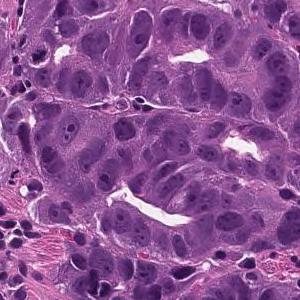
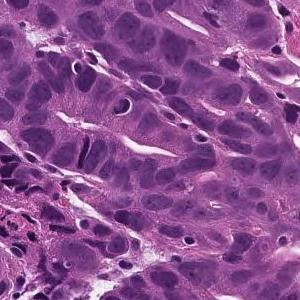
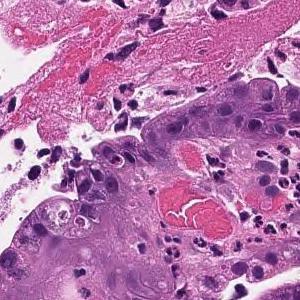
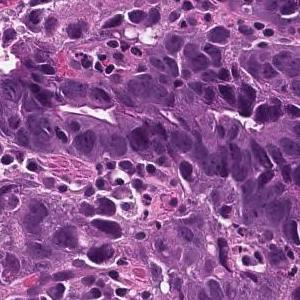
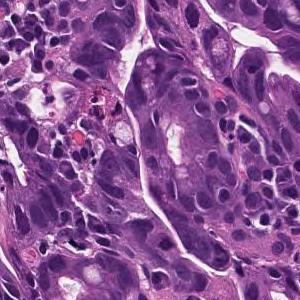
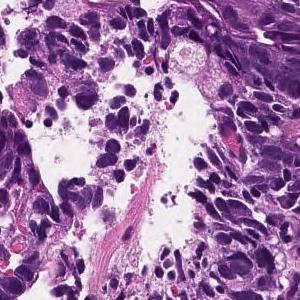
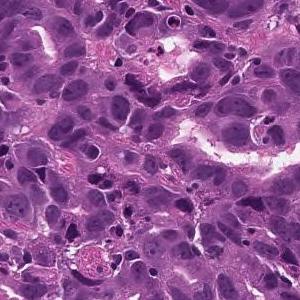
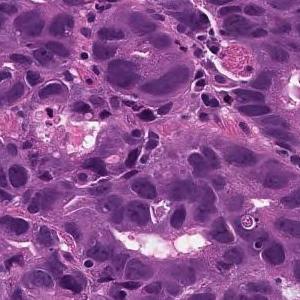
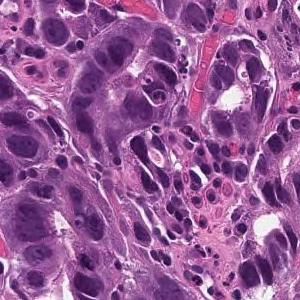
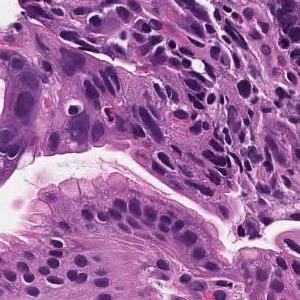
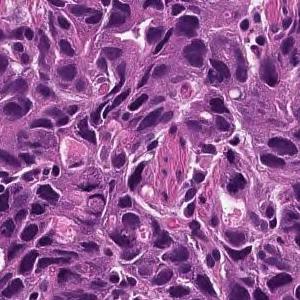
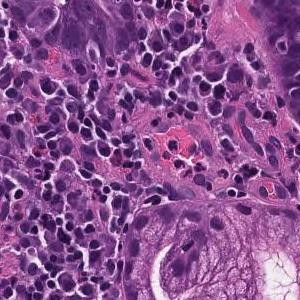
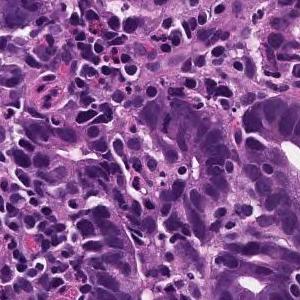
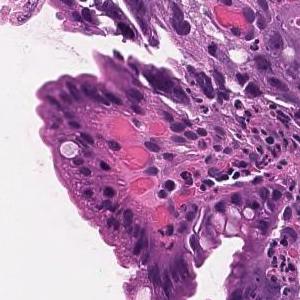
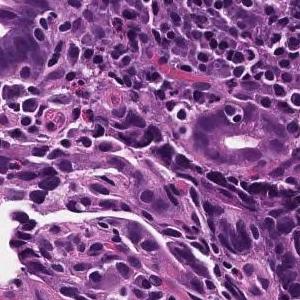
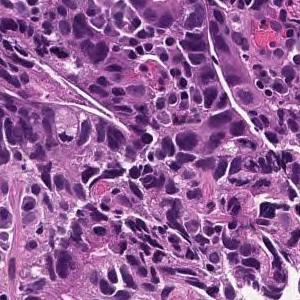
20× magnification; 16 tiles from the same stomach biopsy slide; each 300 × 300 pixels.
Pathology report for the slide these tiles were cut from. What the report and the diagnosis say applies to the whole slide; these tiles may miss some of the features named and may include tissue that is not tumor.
On the superficial epithelium, tumor tissue is found in which medium-sized irregular gland ducts fuse with each other and infiltrate. moderately differentiated tubular adenocarcinoma
